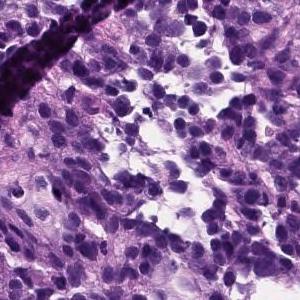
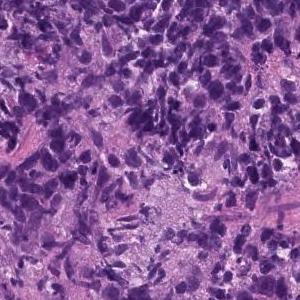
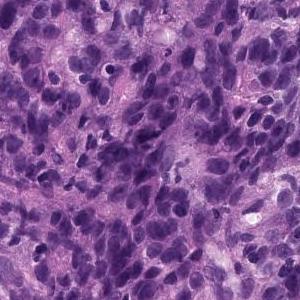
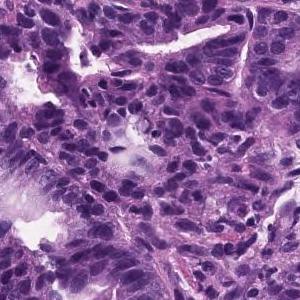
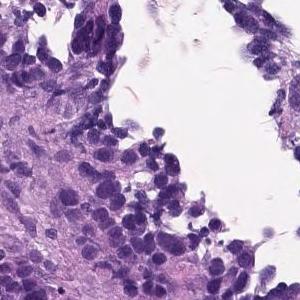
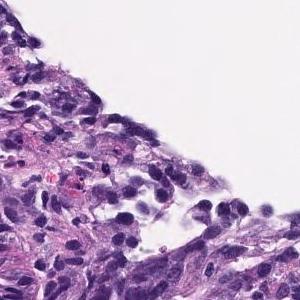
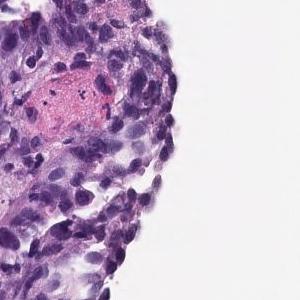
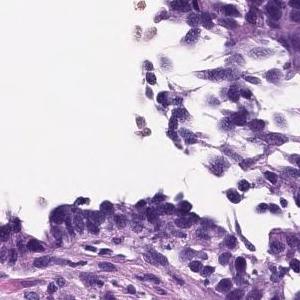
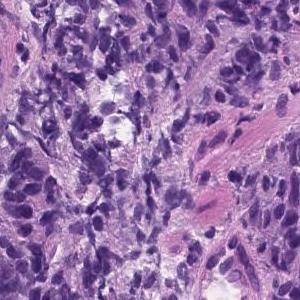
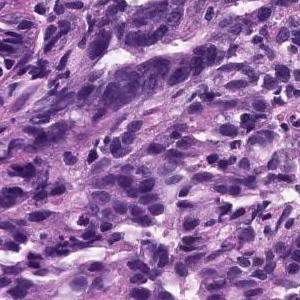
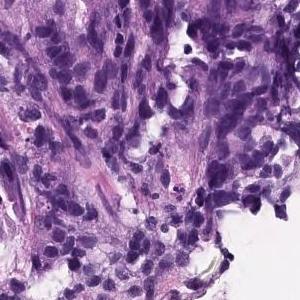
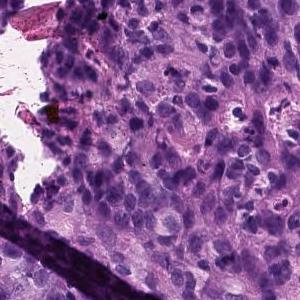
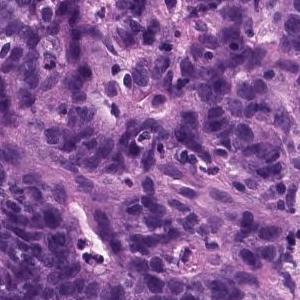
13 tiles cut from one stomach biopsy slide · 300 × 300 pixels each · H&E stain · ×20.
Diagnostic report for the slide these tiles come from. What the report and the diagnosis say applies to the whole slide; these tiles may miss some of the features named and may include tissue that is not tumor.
Group 5, Adenocarcinoma. Poorly differentiated adenocarcinoma, non-solid type
The term "non-solid type" comes from the Japanese Classification of Gastric Carcinoma.
